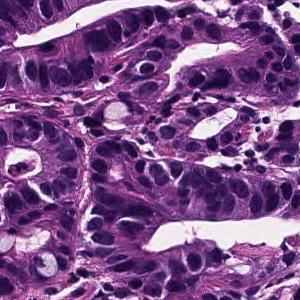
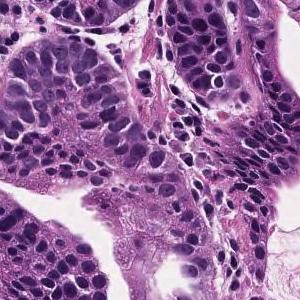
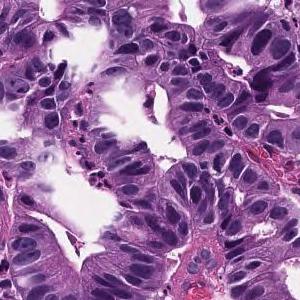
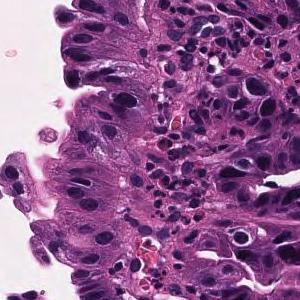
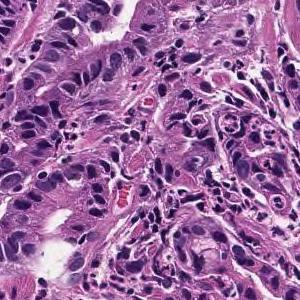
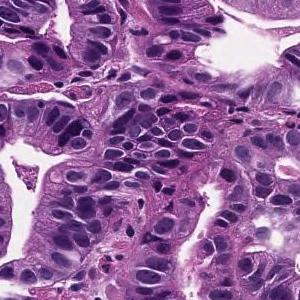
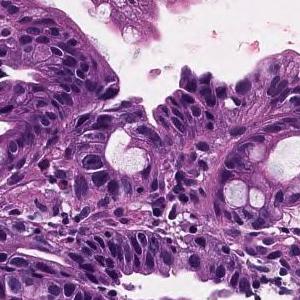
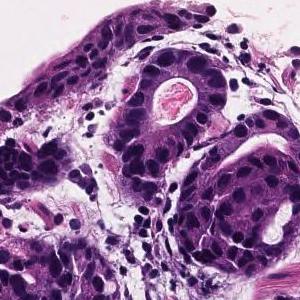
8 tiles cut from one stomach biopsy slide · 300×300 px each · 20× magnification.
Pathology report for the biopsy slide these tiles were cut from. The report and the diagnosis cover the entire slide, so not every feature they name need be visible here, and some tissue shown may not be tumor.
In the superficial epithelium, tumor tissue that invades by forming medium-sized to small, irregular ducts is observed. Well differentiated tubular adenocarcinoma.
